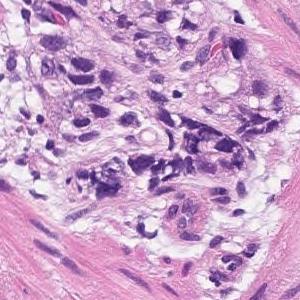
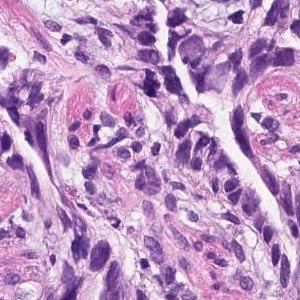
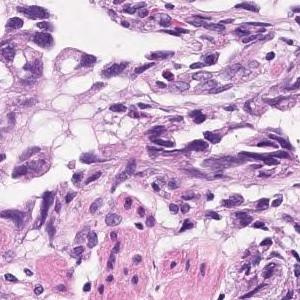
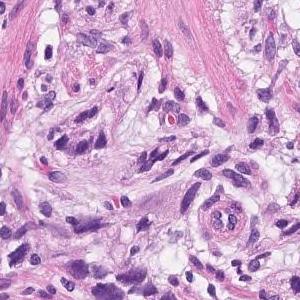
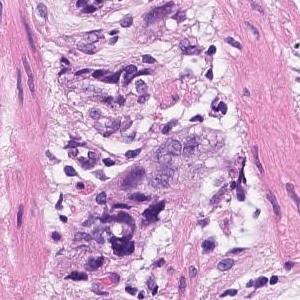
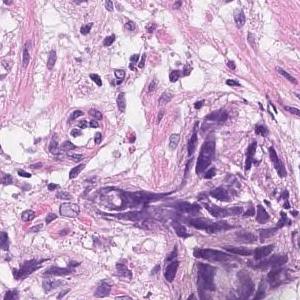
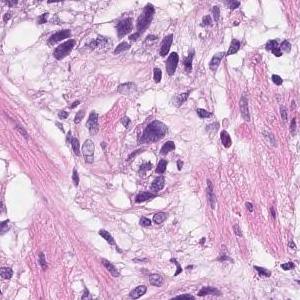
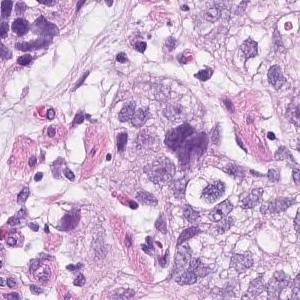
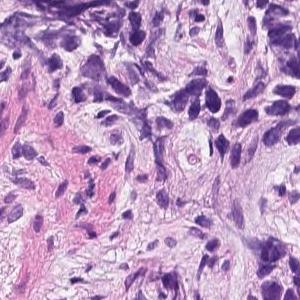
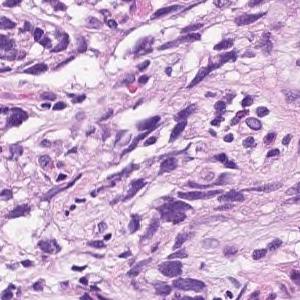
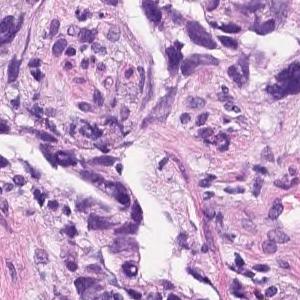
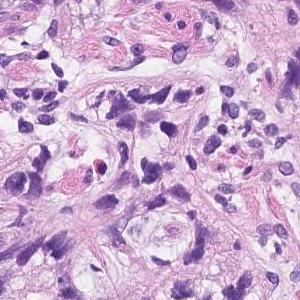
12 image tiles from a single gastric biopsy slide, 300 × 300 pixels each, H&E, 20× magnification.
Diagnostic report for the slide these tiles come from. The report and the diagnosis cover the entire slide, so not every feature they name need be visible here, and some tissue shown may not be tumor.
In the superficial epithelium, tumor tissue that invades by forming medium-sized to small, irregular ducts is observed. Moderately differentiated adenocarcinoma.
Classified as moderately differentiated tubular adenocarcinoma.
